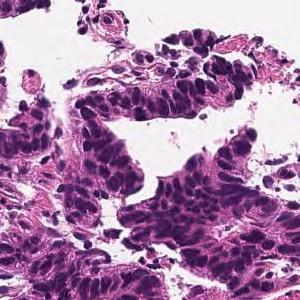
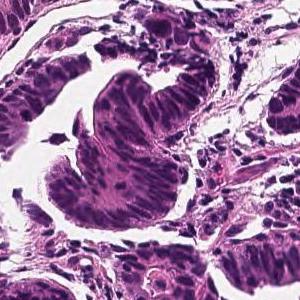
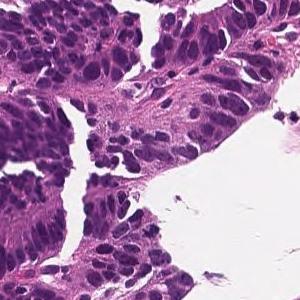
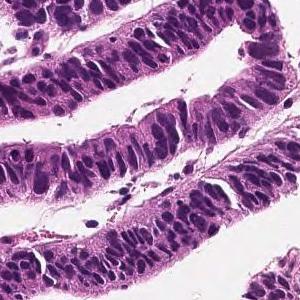
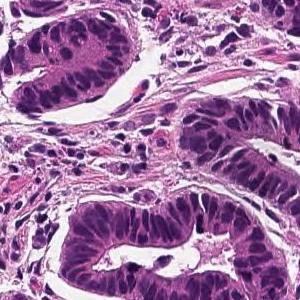
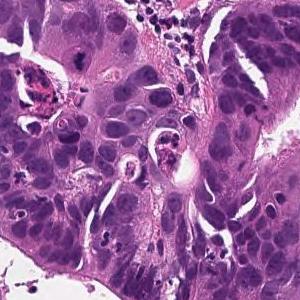
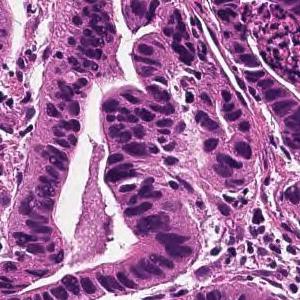
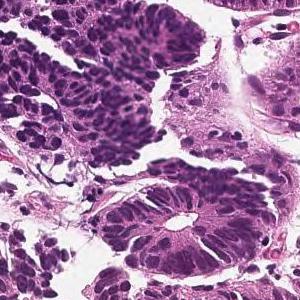
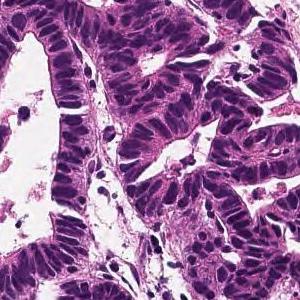
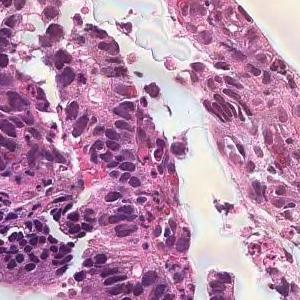
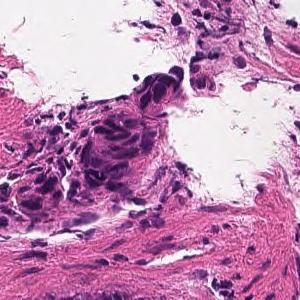
11 tiles cut from one stomach biopsy slide, 300×300 px each, H&E, scanned at ×20.
The pathologist's report on the biopsy slide these tiles were taken from. What the report and the diagnosis say applies to the whole slide; these tiles may miss some of the features named and may include tissue that is not tumor.
From the superficial epithelium to the muscularis mucosae, tumor tissue consisting of medium-sized and irregular glandular ducts infiltrating is observed. Well differentiated tubular adenocarcinoma
